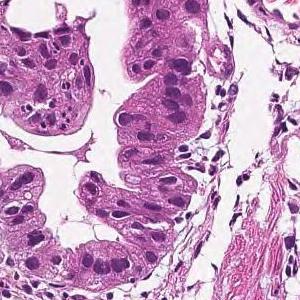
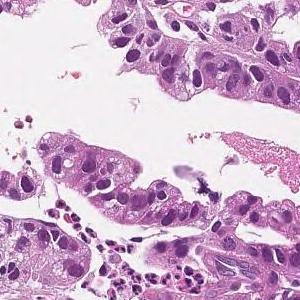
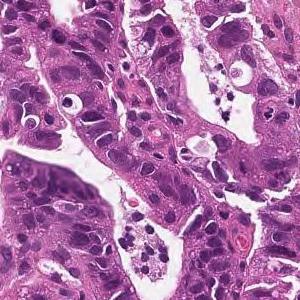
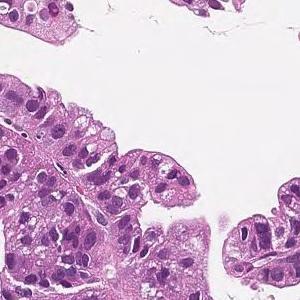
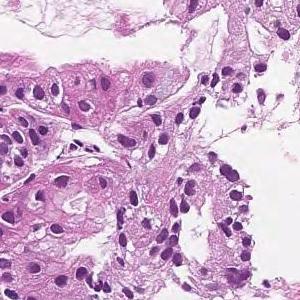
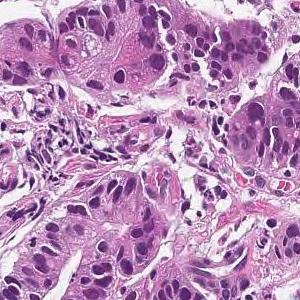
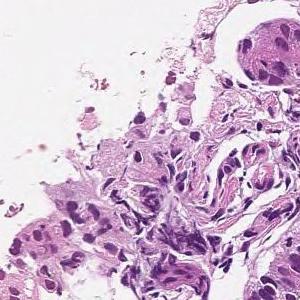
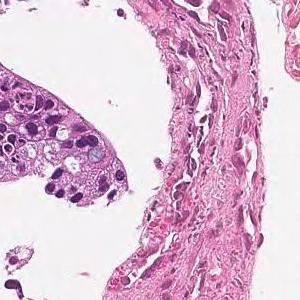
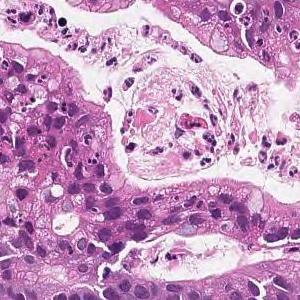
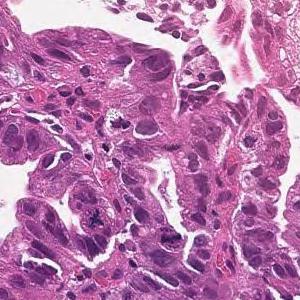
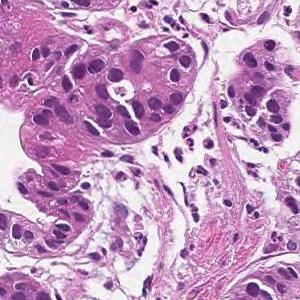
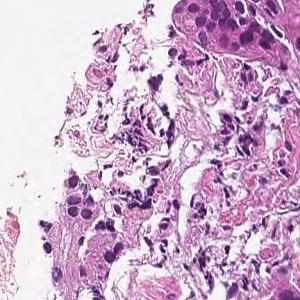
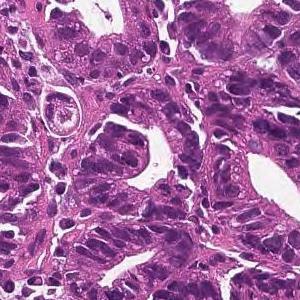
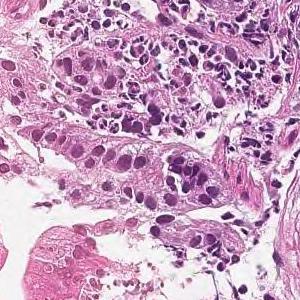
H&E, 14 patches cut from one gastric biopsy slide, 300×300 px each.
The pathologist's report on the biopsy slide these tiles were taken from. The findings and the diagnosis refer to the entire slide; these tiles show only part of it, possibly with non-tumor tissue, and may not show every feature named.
On the superficial epithelium, tumor tissue that infiltrates by forming medium-sized papillary or small irregular ducts is observed. Papillary adenocarcinoma
